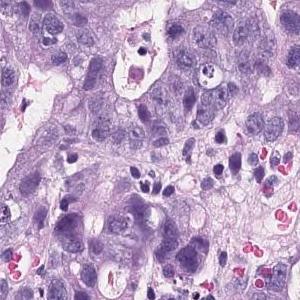
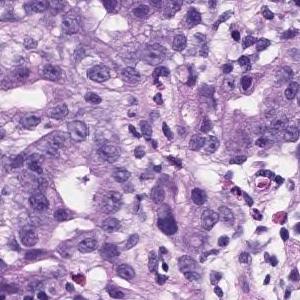
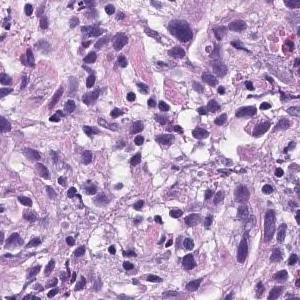
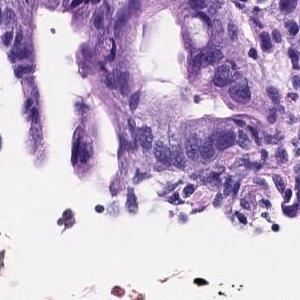
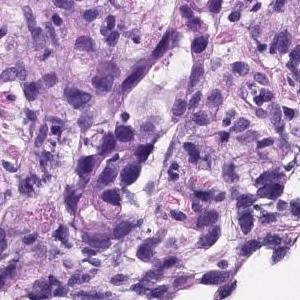
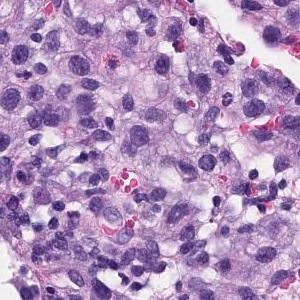
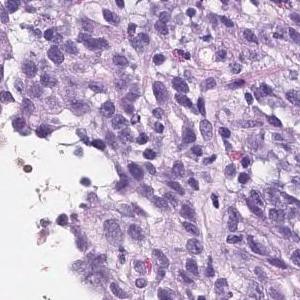
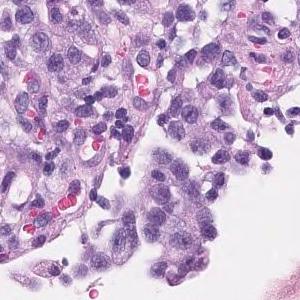
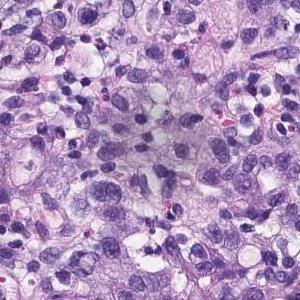
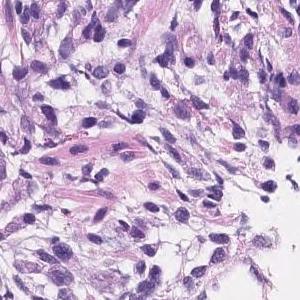
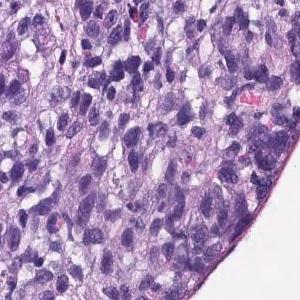
11 tiles cut from one stomach biopsy slide; 20× magnification; hematoxylin and eosin stain.
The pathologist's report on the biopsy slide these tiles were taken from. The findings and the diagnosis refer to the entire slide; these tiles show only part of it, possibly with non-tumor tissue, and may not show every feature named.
There are atypical l cells with atypical nuclei forming cord-like or irregular atypical ducts from solidity and proliferating in a comprehensive manner. Poorly differentiated adenocarcinoma, Moderately differentiated adenocarcinoma (poorly differentiated adenocarcinoma, solid type moderately differentiated tubular adenocarcinoma)
Histological subtype: Moderately to poorly differentiated adenocarcinoma.
The solid type named here is a Japanese Classification of Gastric Carcinoma category; WHO 2019 calls it tubular adenocarcinoma, poorly differentiated.
